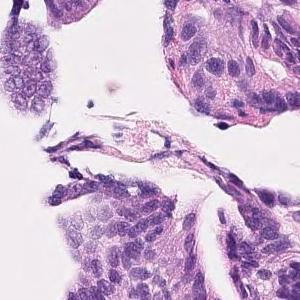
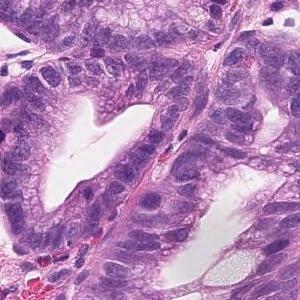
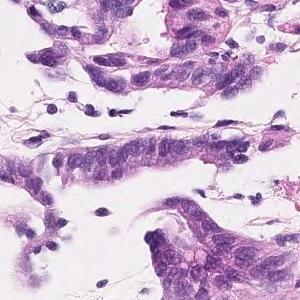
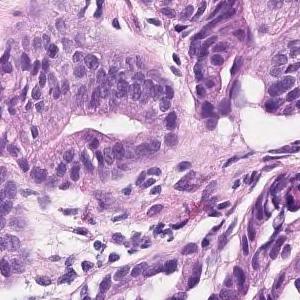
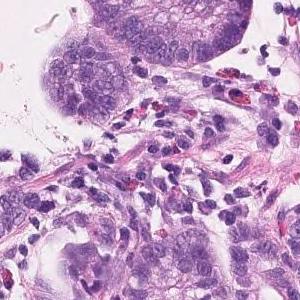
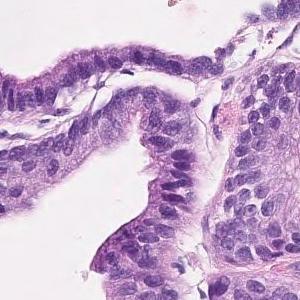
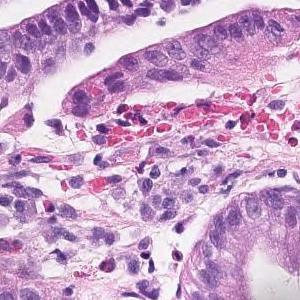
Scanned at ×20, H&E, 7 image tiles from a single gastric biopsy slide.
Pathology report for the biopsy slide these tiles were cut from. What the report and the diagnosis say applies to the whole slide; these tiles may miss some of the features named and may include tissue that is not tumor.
Tumor cells are large, highly columnar, large club-shaped nuclei, and are associated with chromatin aggregation. Papillary adenocarcinoma.
